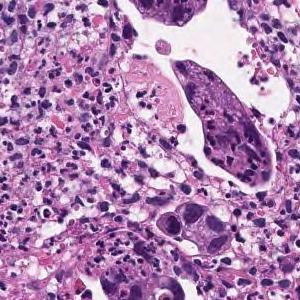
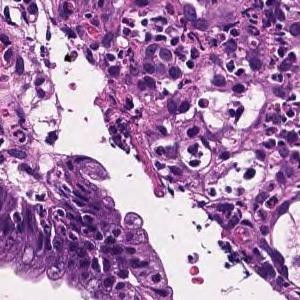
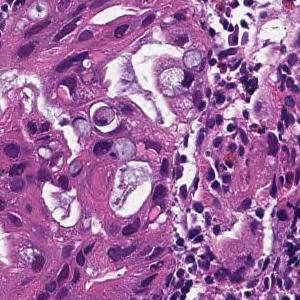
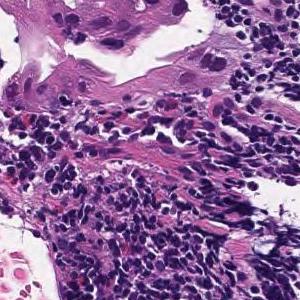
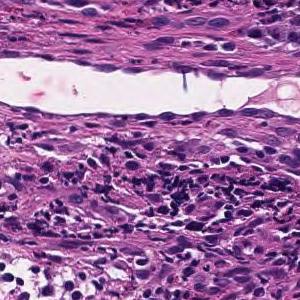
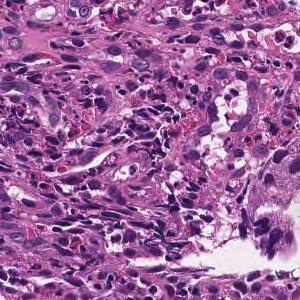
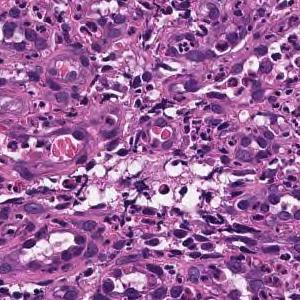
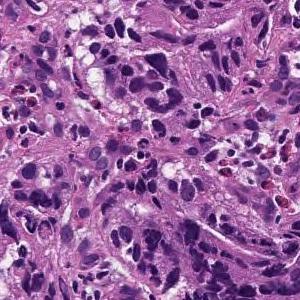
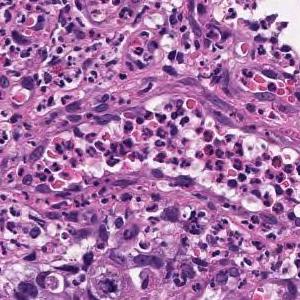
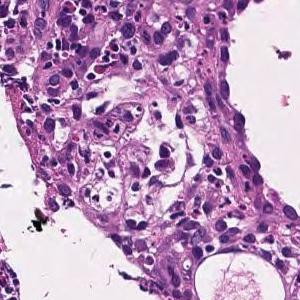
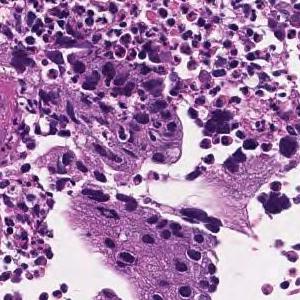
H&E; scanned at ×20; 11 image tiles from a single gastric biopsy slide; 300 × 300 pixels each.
Pathology report for the slide these tiles were cut from. Both the report and the diagnosis are for the whole slide: these tiles need not show every feature named, and some of the tissue shown may not be tumor.
In the superficial epithelium, tumor tissue that invades by forming medium-sized to small, irregular ducts is observed. moderately differentiated tubular adenocarcinoma.
